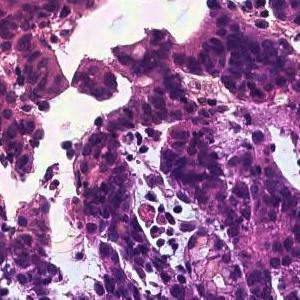
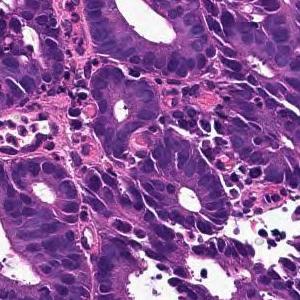
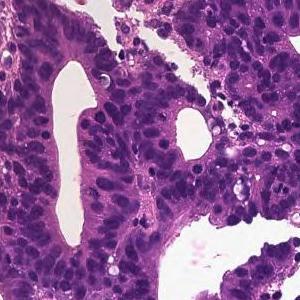
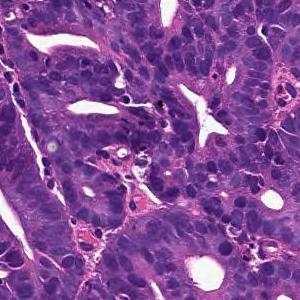
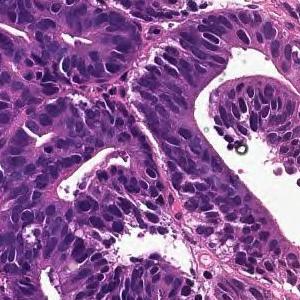
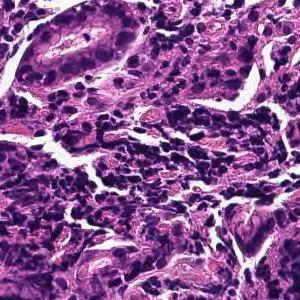
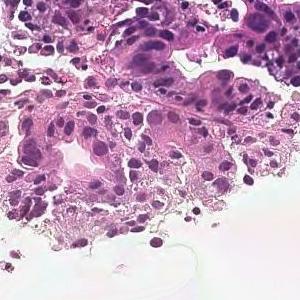
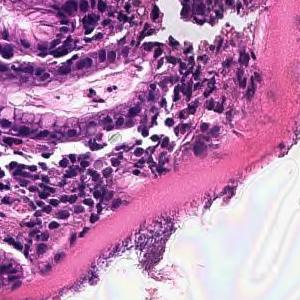
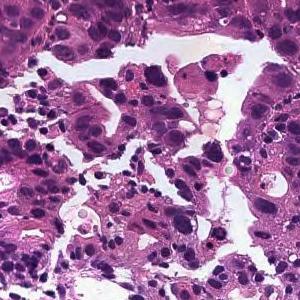
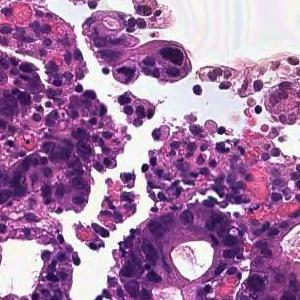
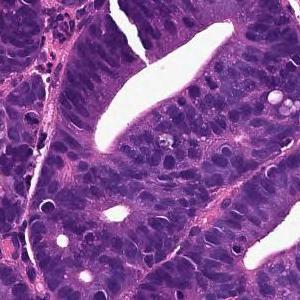
H&E stain; 20× magnification; 11 patches cut from one gastric biopsy slide.
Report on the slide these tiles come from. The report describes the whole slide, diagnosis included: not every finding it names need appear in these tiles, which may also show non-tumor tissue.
On the superficial epithelium, tumor tissue consisting of large irregular glandular ducts partially fused and infiltrated is observed. Well to moderately differentiated tubular adenocarcinoma (well differentiated tubular adenocarcinoma, moderately differentiated tubular adenocarcinoma)
Histological subtype: Well to moderately differentiated tubular adenocarcinoma.
